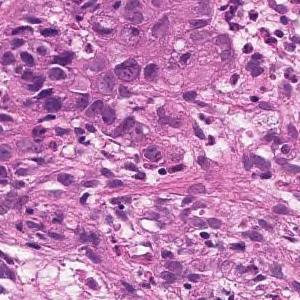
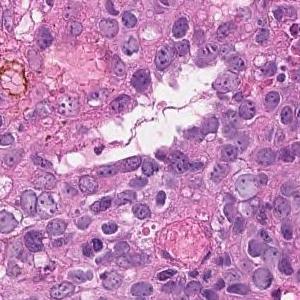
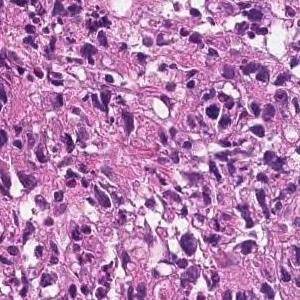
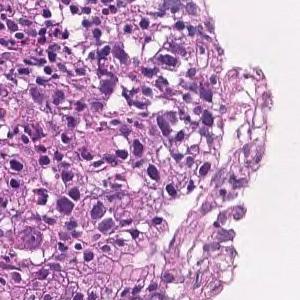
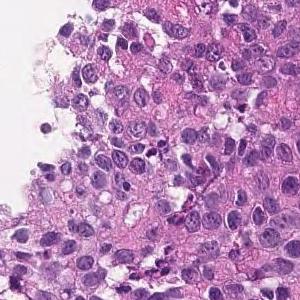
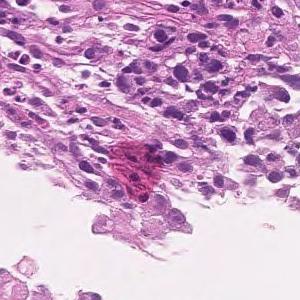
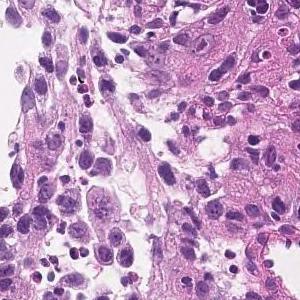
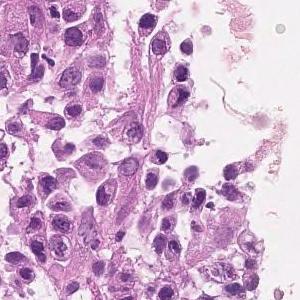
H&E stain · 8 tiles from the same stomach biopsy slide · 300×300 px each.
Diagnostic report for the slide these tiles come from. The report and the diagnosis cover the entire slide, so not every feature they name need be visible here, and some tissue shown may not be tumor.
The superficial epithelium shows a large sheet-like shape, and some tumor tissue infiltrates with small irregular ducts. Poorly differentiated adenocarcinoma, solid-type
Classified as poorly differentiated adenocarcinoma, solid type (Japanese Classification of Gastric Carcinoma). The WHO 2019 equivalent is tubular adenocarcinoma, poorly differentiated.
